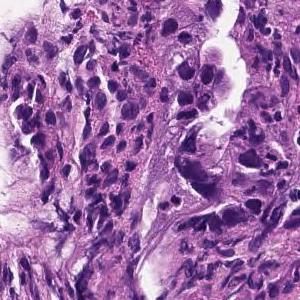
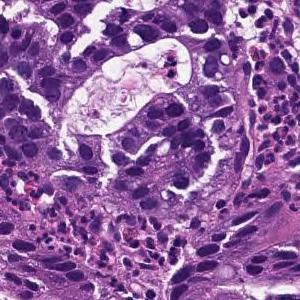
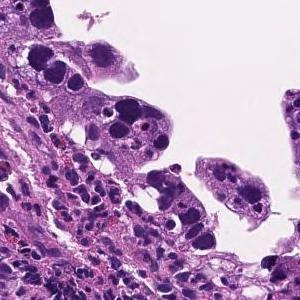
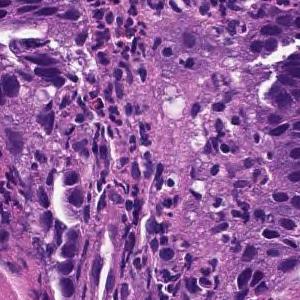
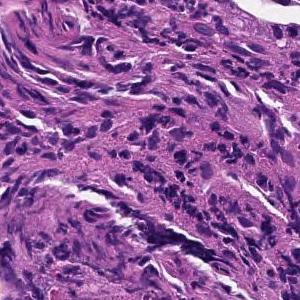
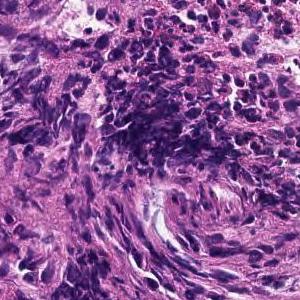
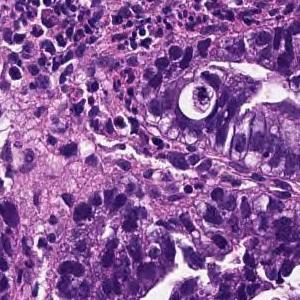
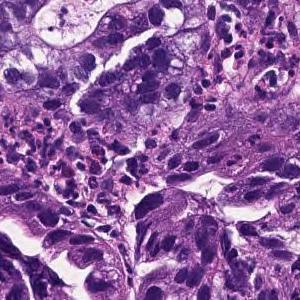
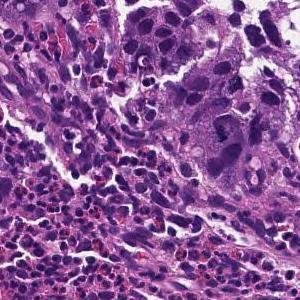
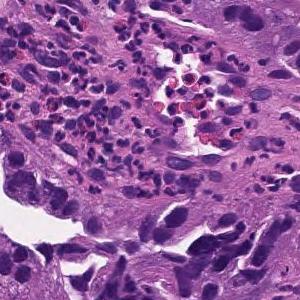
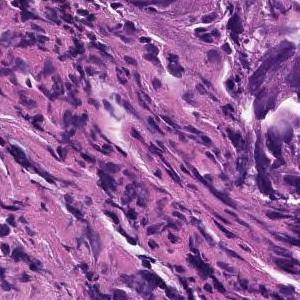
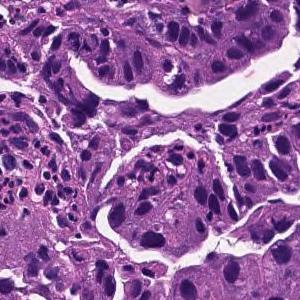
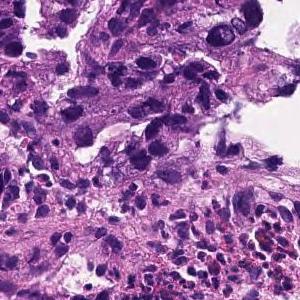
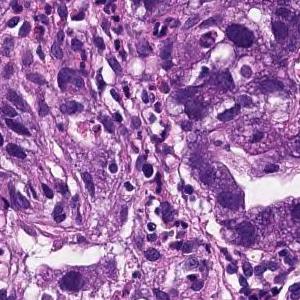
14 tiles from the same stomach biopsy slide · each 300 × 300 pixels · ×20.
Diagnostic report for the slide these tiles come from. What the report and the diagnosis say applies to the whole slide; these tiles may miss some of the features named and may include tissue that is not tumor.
Tumor tissue consisting of large papillary structures is found in the superficial epithelium. Papillary adenocarcinoma.
